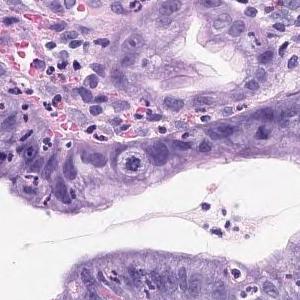
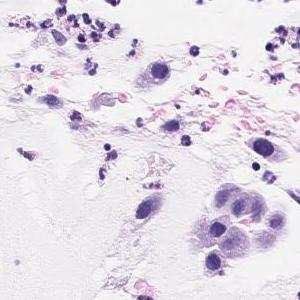
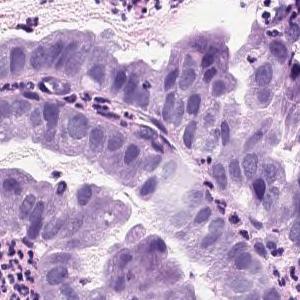
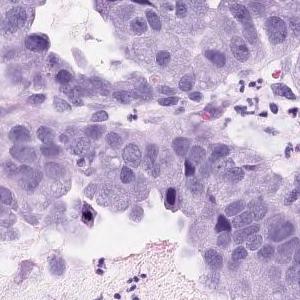
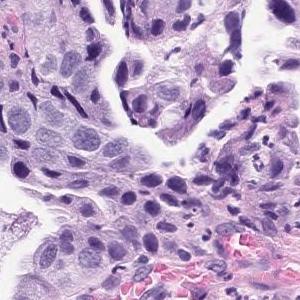
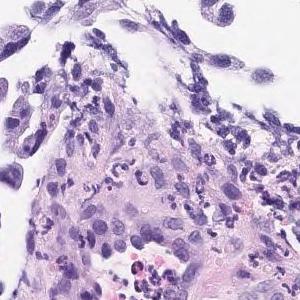
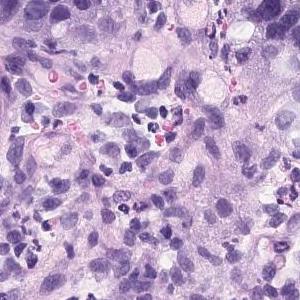
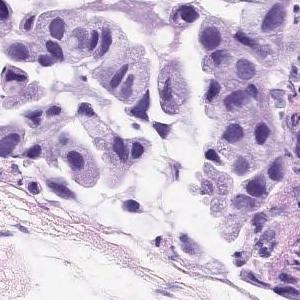
20× magnification; hematoxylin and eosin stain; 8 image tiles from a single gastric biopsy slide; each 300 × 300 pixels.
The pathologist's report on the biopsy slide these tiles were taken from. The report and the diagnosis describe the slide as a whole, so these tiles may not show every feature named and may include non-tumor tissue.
Atypical l cells with atypical nuclei forming solid or diffuse vesicles or small irregular atypical ducts and growing in a complex manner. Well differentiated tubular adenocarcinoma
